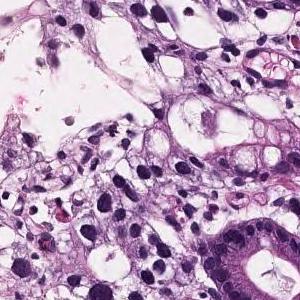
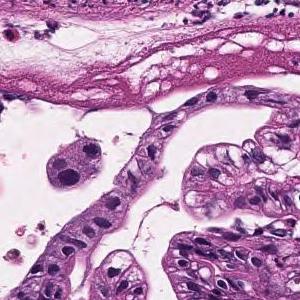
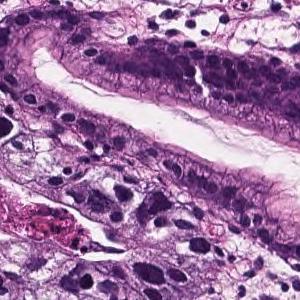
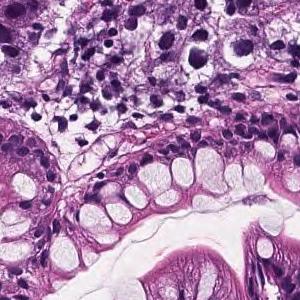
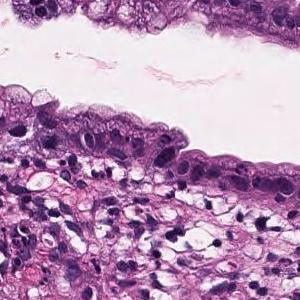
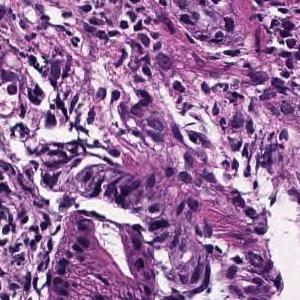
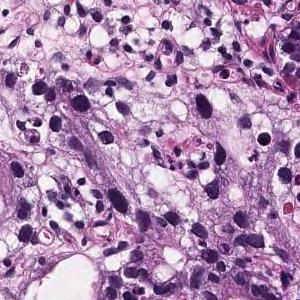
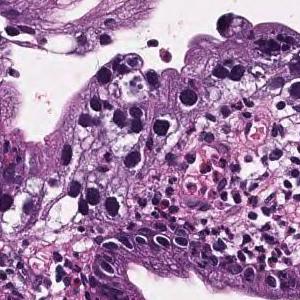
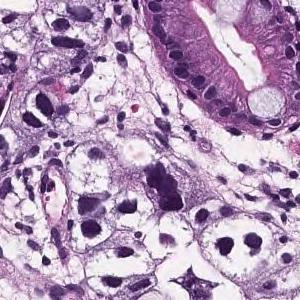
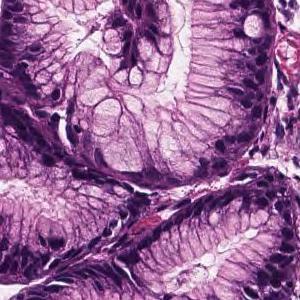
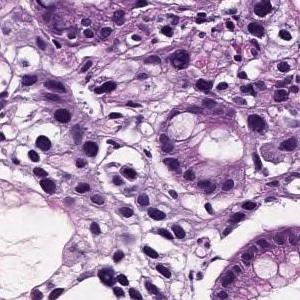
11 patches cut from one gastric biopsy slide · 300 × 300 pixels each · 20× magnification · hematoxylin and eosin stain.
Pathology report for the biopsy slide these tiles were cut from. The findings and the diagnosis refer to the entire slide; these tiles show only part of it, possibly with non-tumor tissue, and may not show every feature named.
In the superficial epithelium, medium to small irregular gland ducts are formed, and in some cases, the ducts are fused to show solid alveolar lesions and infiltrating tumor tissue is observed. Moderately to poorly differentiated adenocarcinoma
